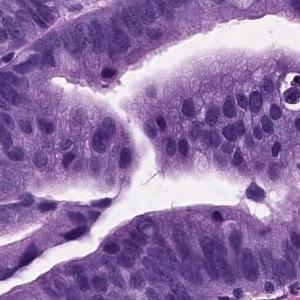
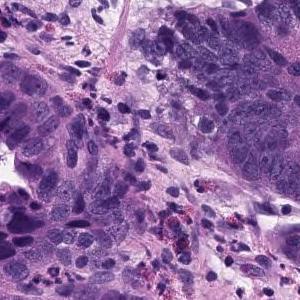
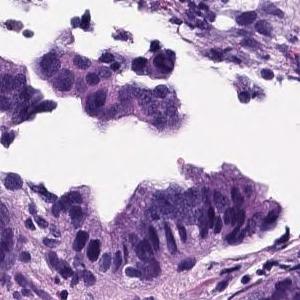
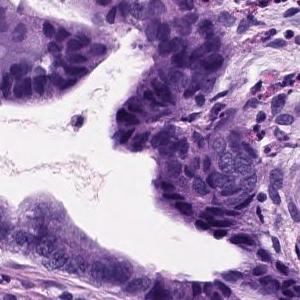
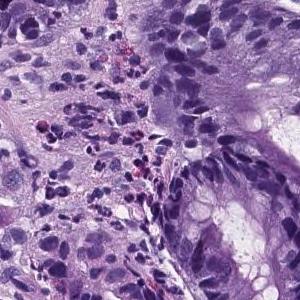
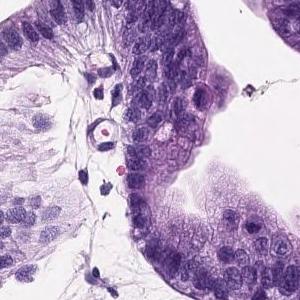
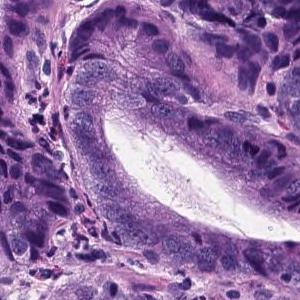
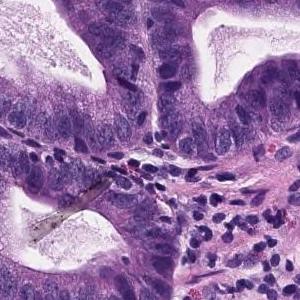
8 image tiles from a single gastric biopsy slide; each 300 × 300 pixels; hematoxylin and eosin stain; 20× magnification.
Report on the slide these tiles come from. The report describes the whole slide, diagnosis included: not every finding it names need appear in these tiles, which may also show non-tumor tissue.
Tumor tissue consisting of large papillary structures is found in the superficial epithelium. Papillary adenocarcinoma.
